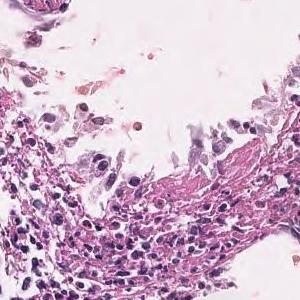
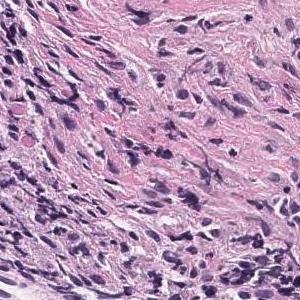
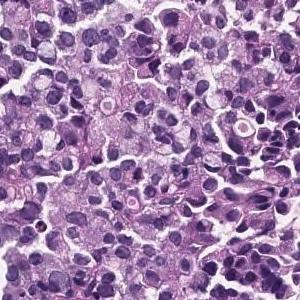
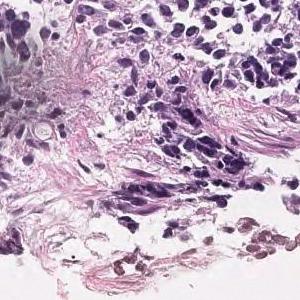
4 image tiles from a single gastric biopsy slide · each 300 × 300 pixels · hematoxylin and eosin stain.
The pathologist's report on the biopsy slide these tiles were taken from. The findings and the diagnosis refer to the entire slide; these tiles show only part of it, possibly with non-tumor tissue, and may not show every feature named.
The superficial epithelium shows a large sheet-like shape, and some tumor tissue infiltrates with small irregular ducts. Poorly differentiated adenocarcinoma, solid-type
Histological subtype: Poorly differentiated adenocarcinoma, solid type. This name comes from the Japanese Classification of Gastric Carcinoma; the WHO 2019 classification calls it tubular adenocarcinoma, poorly differentiated.
